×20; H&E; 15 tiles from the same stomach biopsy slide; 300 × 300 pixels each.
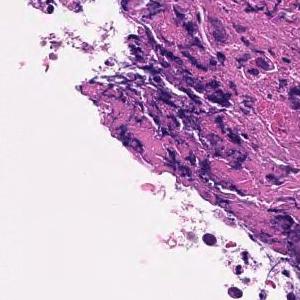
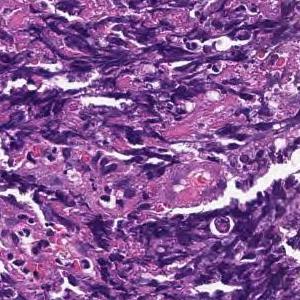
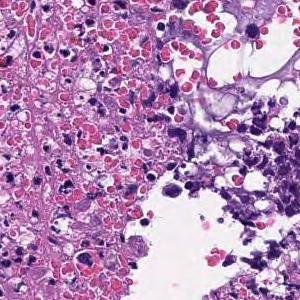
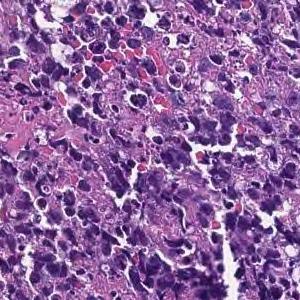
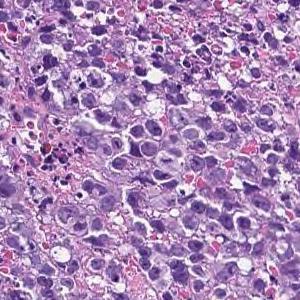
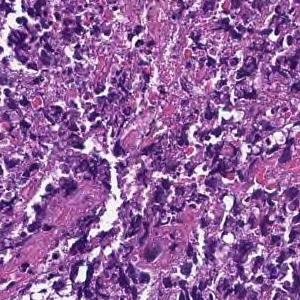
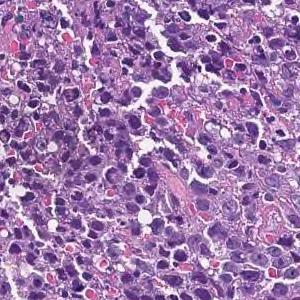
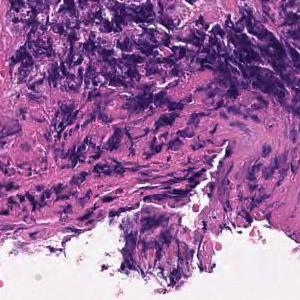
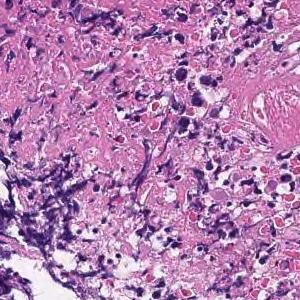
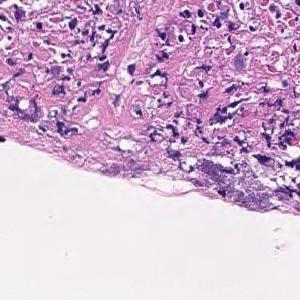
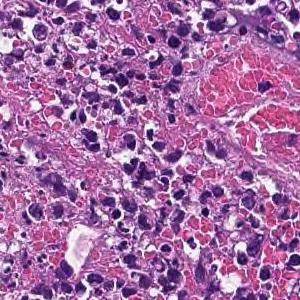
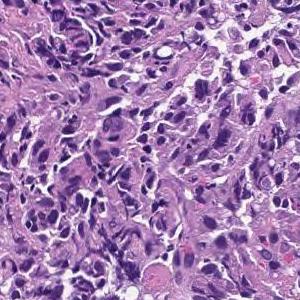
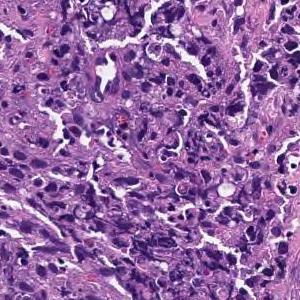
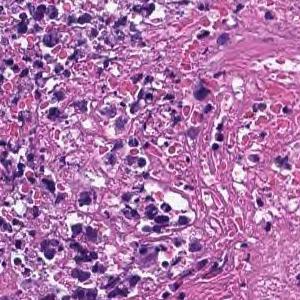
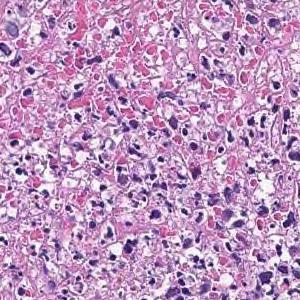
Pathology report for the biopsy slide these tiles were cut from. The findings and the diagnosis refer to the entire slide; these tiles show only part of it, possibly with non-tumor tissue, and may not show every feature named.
Most are composed of coagulative necrotic tissue, but some show a large sheet-like shape, and some show tumor tissue infiltrating with a small cord-like structure. Poorly differentiated adenocarcinoma, solid-type
Histologic type: Poorly differentiated adenocarcinoma, solid type. This name comes from the Japanese Classification of Gastric Carcinoma; the WHO 2019 classification calls it tubular adenocarcinoma, poorly differentiated.
